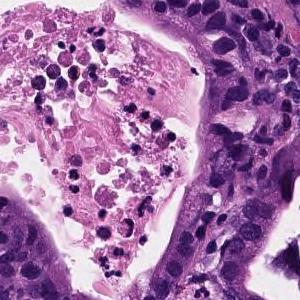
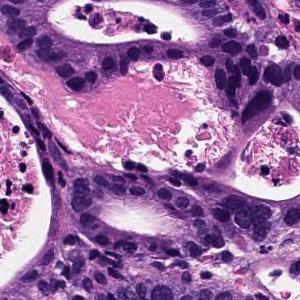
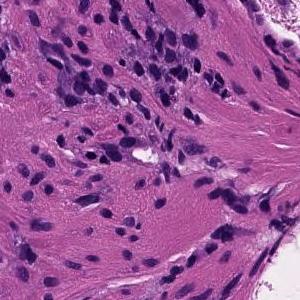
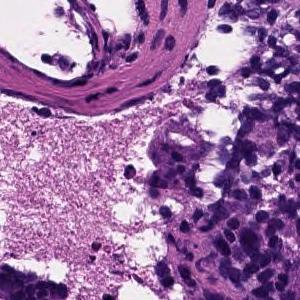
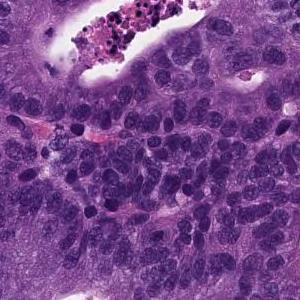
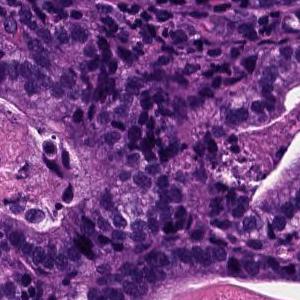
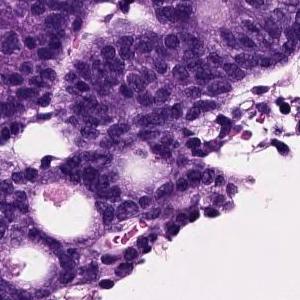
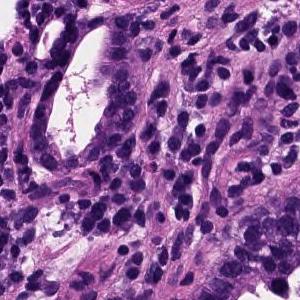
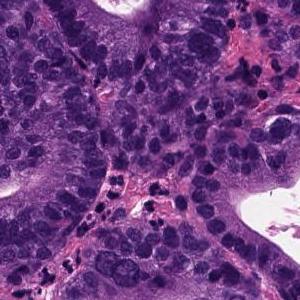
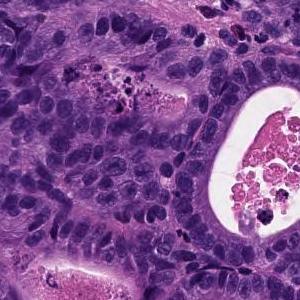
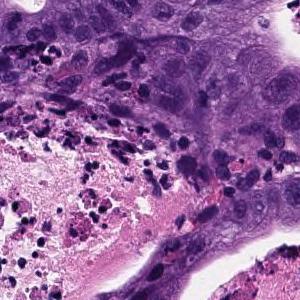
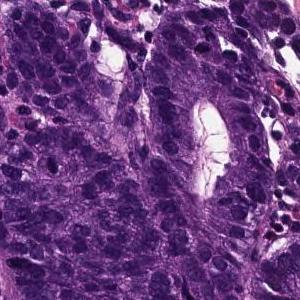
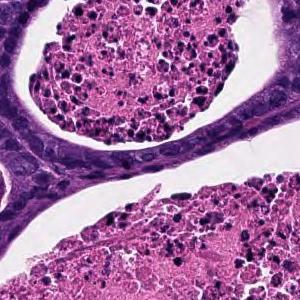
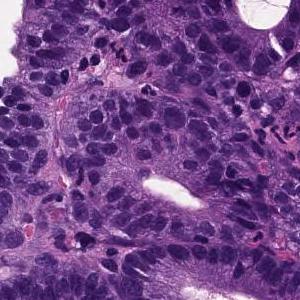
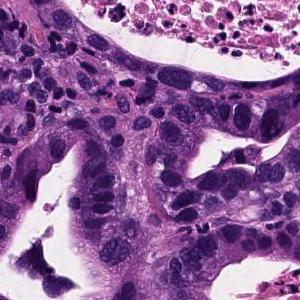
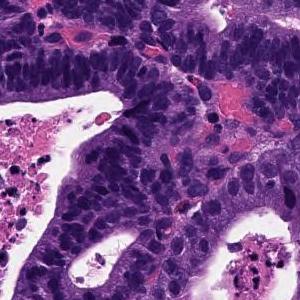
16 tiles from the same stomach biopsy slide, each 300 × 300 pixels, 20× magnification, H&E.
The pathologist's report on the biopsy slide these tiles were taken from. The report describes the whole slide, diagnosis included: not every finding it names need appear in these tiles, which may also show non-tumor tissue.
From the superficial epithelium to the muscularis mucosae, tumor tissue consisting of medium-sized and irregular glandular ducts infiltrating is observed. Well differentiated tubular adenocarcinoma
